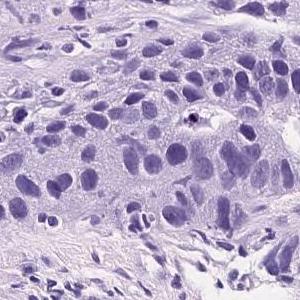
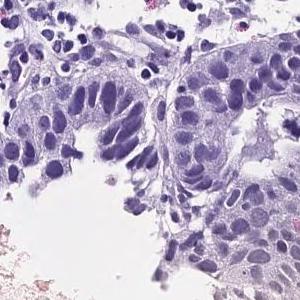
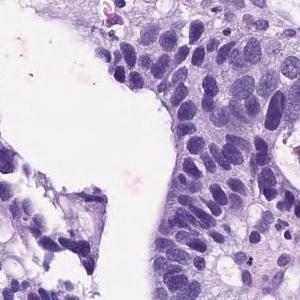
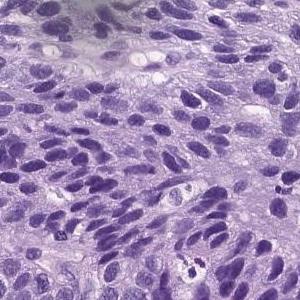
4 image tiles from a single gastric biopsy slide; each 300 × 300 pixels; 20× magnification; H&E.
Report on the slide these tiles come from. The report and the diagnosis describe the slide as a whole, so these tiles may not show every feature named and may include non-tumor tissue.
Atypical cells with atypical nuclei forming small irregular atypical ducts and growing in a conformative manner. moderately differentiated tubular adenocarcinoma
The dataset labels this slide moderately to poorly differentiated adenocarcinoma.
